H&E, 10 image tiles from a single gastric biopsy slide, each 300 × 300 pixels.
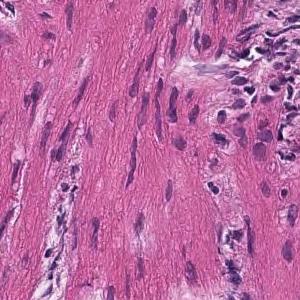
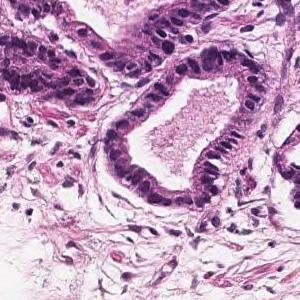
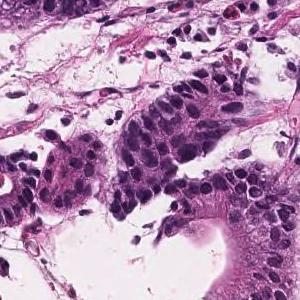
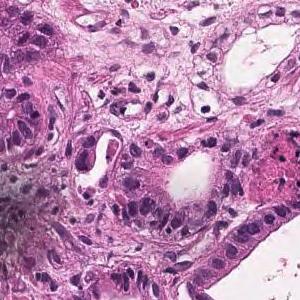
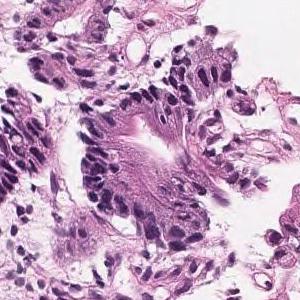
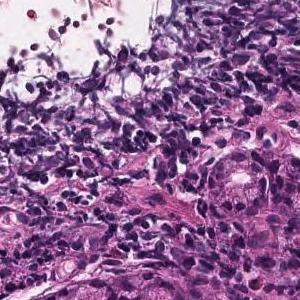
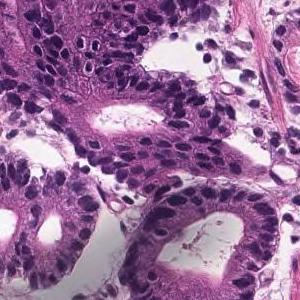
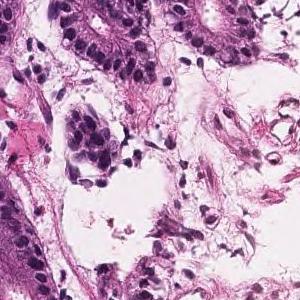
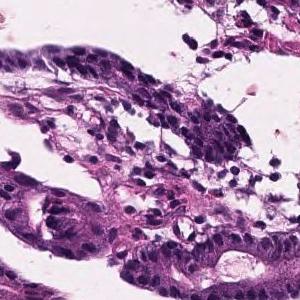
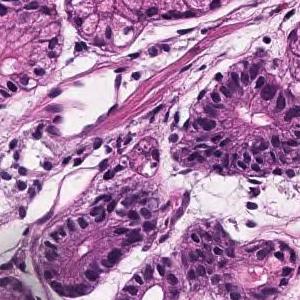
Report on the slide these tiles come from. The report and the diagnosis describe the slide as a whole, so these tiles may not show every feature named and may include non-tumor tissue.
Tumor tissue with atypical epithelium showing irregular ductal or sieving ductal structure and proliferating is observed. Well to moderately differentiated tubular adenocarcinoma (well differentiated tubular adenocarcinoma-moderately differentiated tubular adenocarcinoma)
Subtype: Well to moderately differentiated tubular adenocarcinoma.
